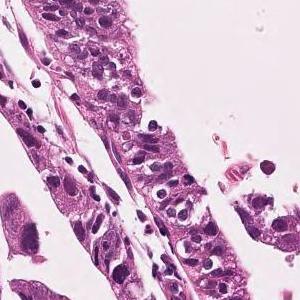
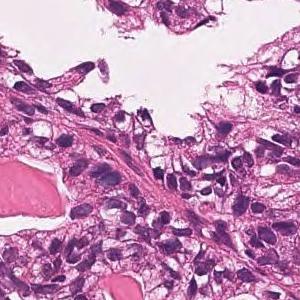
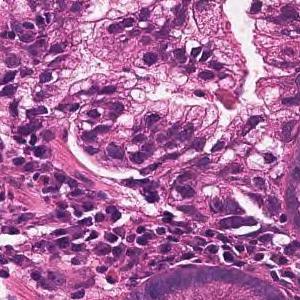
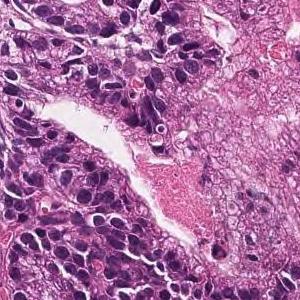
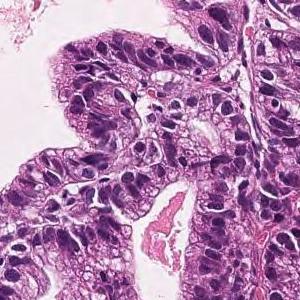
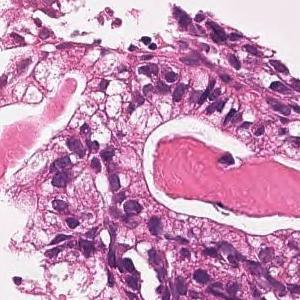
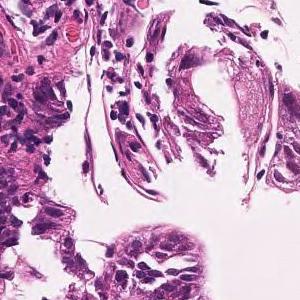
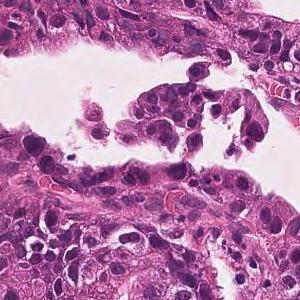
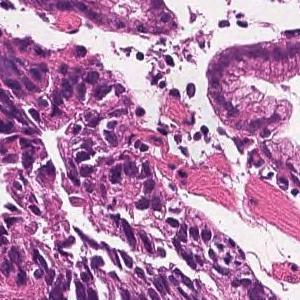
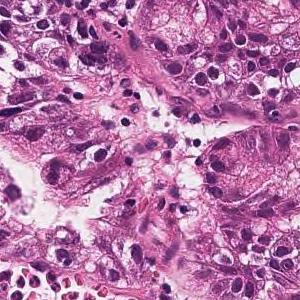
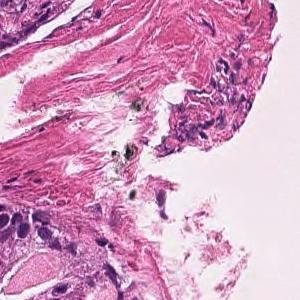
Hematoxylin and eosin stain, scanned at ×20, 11 image tiles from a single gastric biopsy slide.
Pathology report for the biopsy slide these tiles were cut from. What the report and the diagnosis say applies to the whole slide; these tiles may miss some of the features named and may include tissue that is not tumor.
On the superficial epithelium, tumor tissue consisting of large, irregular glandular ducts partially fused and infiltrated is observed. Well to moderately differentiated tubular adenocarcinoma (well differentiated tubular adenocarcinoma, moderately differentiated tubular adenocarcinoma)
Subtype: Well to moderately differentiated tubular adenocarcinoma.
